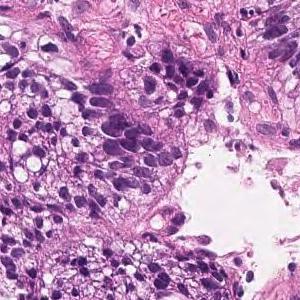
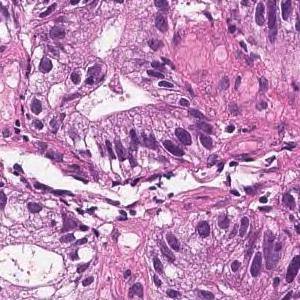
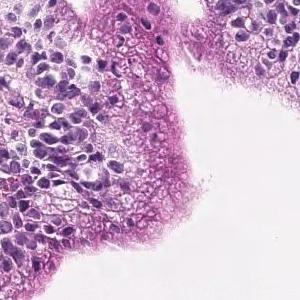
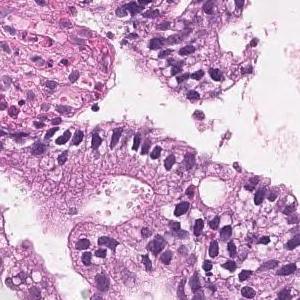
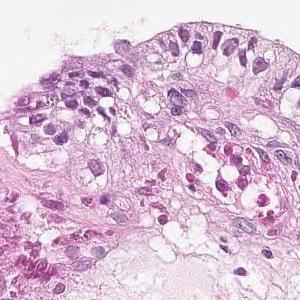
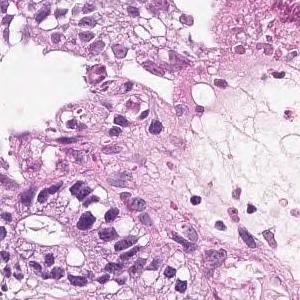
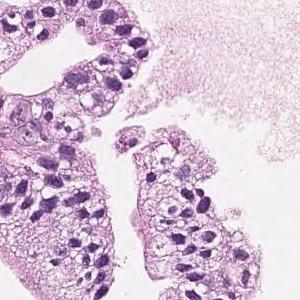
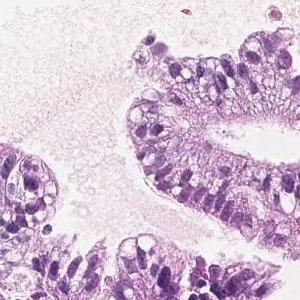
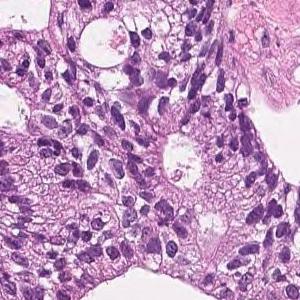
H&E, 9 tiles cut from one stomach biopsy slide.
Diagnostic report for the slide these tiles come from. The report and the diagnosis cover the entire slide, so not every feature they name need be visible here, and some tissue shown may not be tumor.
On the superficial epithelium, tumor tissue that infiltrates by forming medium-sized papillary or small irregular ducts is observed. Papillary adenocarcinoma
